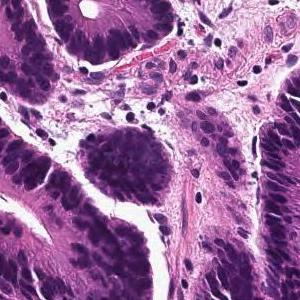
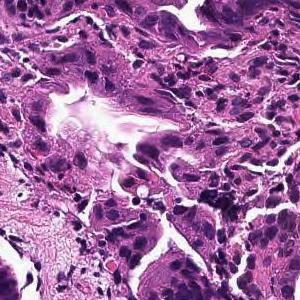
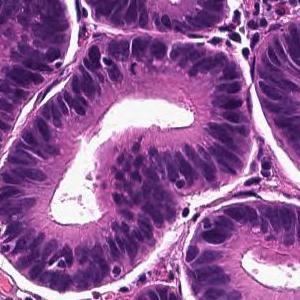
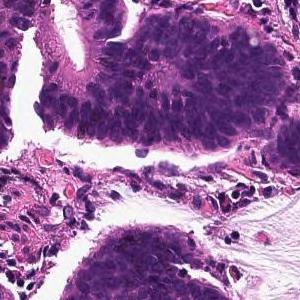
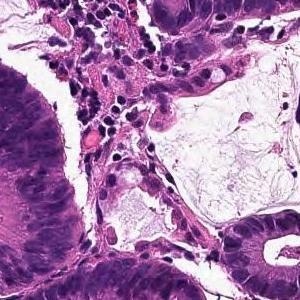
5 image tiles from a single gastric biopsy slide · 300 × 300 pixels each · H&E · scanned at ×20.
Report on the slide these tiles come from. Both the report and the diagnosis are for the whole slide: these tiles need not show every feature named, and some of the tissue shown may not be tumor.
From the superficial epithelium to the muscularis mucosae, tumor tissue consisting of medium-sized and irregular glandular ducts infiltrating is observed. Well differentiated tubular adenocarcinoma
